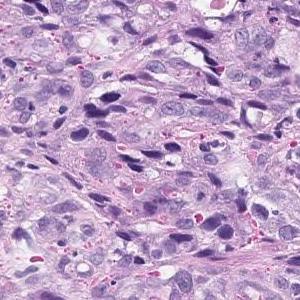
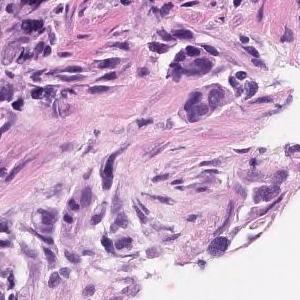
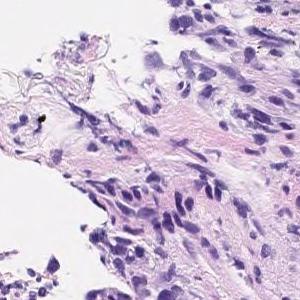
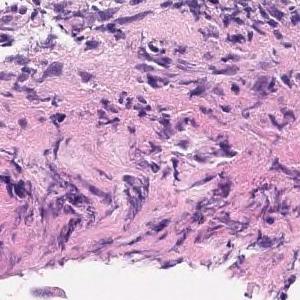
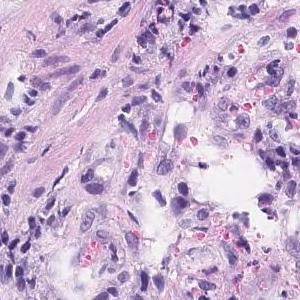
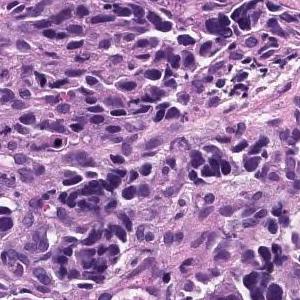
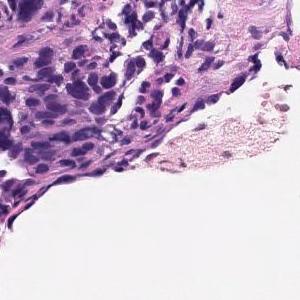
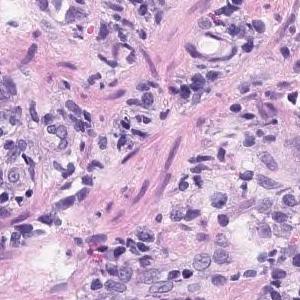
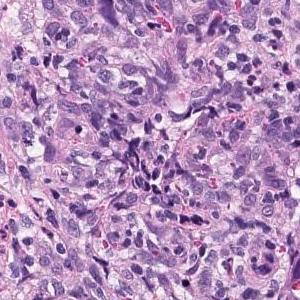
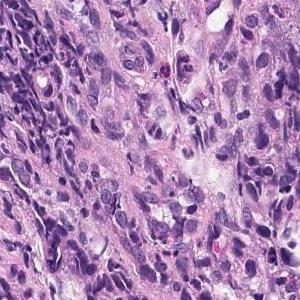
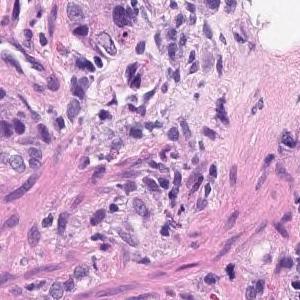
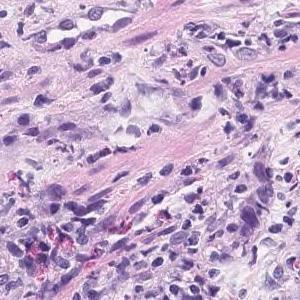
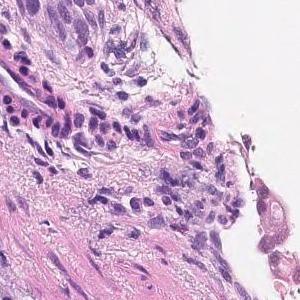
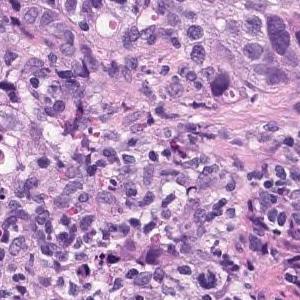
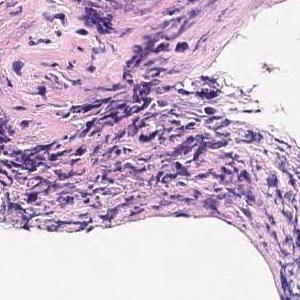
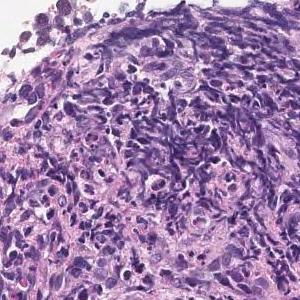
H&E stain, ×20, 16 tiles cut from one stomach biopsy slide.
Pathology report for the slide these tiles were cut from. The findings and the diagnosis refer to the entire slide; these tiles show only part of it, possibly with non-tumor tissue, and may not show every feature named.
Group 5, Moderately differentiated adenocarcinoma
Subtype: Moderately differentiated tubular adenocarcinoma.
